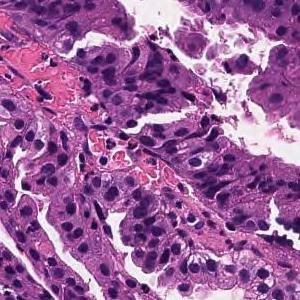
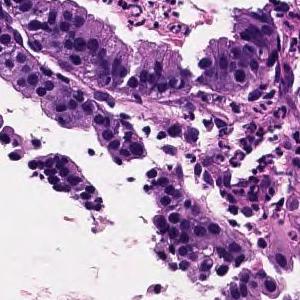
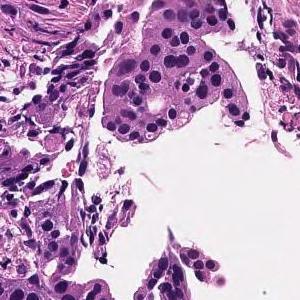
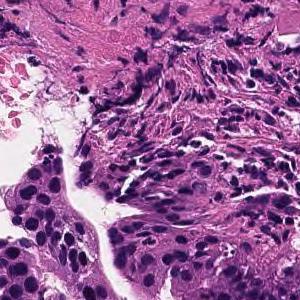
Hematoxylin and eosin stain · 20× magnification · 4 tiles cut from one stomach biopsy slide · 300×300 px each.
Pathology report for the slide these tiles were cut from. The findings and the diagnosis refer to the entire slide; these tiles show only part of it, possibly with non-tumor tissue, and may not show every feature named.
On the superficial epithelium, tumor tissue consisting of large, irregular glandular ducts partially fused and infiltrated is observed. Well to moderately differentiated tubular adenocarcinoma (well differentiated tubular adenocarcinoma, moderately differentiated tubular adenocarcinoma)
Subtype: Well to moderately differentiated tubular adenocarcinoma.
